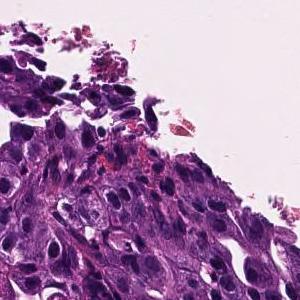
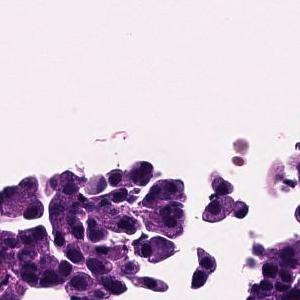
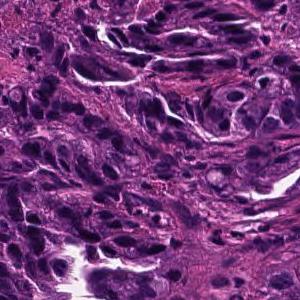
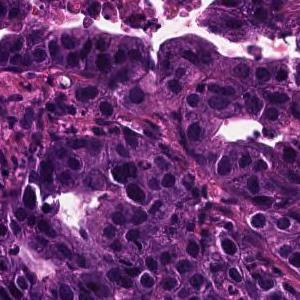
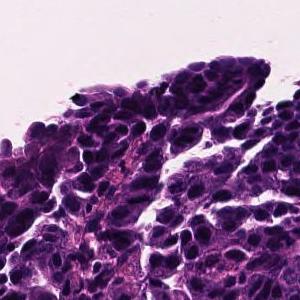
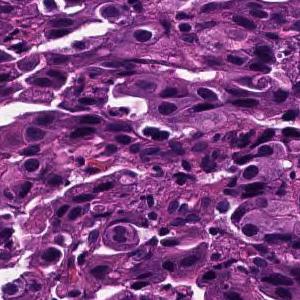
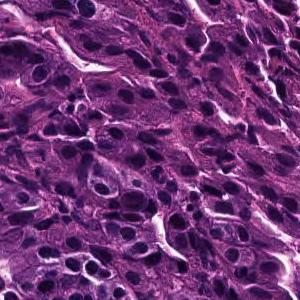
H&E stain, 7 tiles cut from one stomach biopsy slide, each 300 × 300 pixels.
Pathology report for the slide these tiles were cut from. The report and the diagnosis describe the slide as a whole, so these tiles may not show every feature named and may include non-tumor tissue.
Tumor tissue consisting of medium-sized, cord-like or irregular glandular fusion and infiltration is observed in the superficial epithelium. Poorly differentiated adenocarcinoma, non-solid type or moderately differentiated tubular adenocarcinoma
Histologic type: Moderately to poorly differentiated adenocarcinoma.
The term "non-solid type" comes from the Japanese Classification of Gastric Carcinoma.
